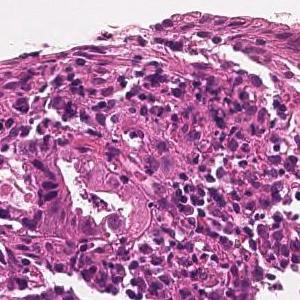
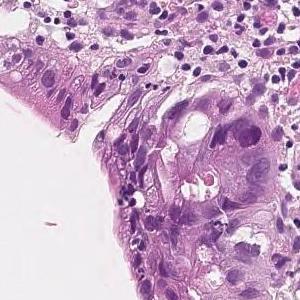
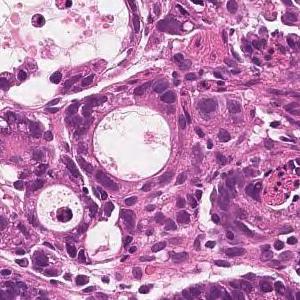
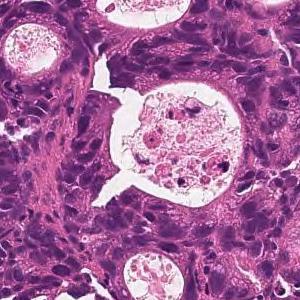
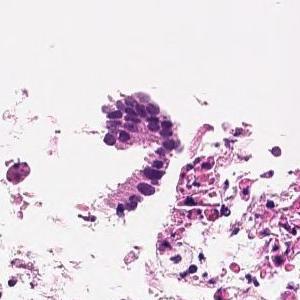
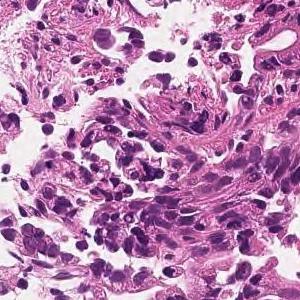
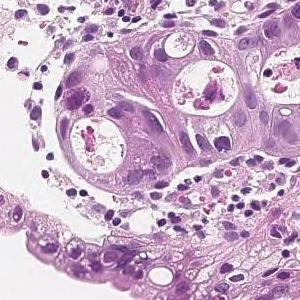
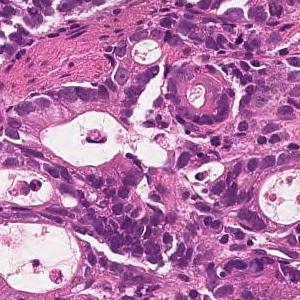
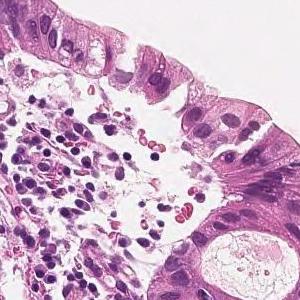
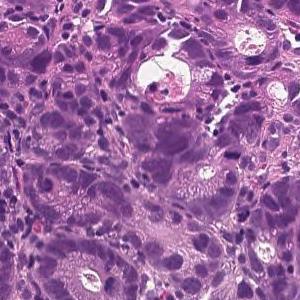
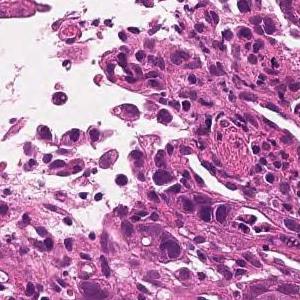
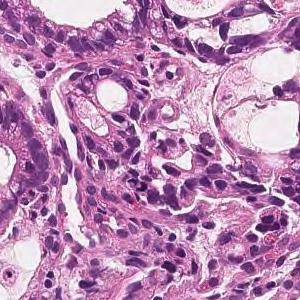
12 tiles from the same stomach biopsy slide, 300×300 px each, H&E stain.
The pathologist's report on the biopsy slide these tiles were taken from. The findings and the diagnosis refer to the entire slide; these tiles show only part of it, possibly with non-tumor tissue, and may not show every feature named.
On the superficial epithelium, tumor tissue is found in which medium-sized irregular gland ducts fuse with each other and infiltrate. moderately differentiated tubular adenocarcinoma
